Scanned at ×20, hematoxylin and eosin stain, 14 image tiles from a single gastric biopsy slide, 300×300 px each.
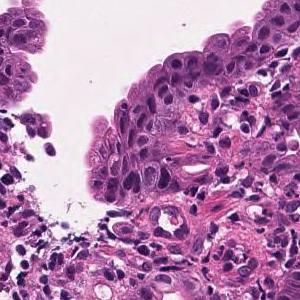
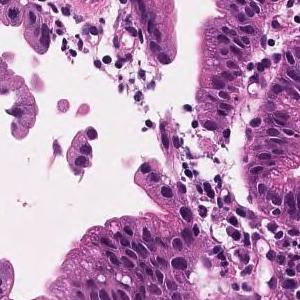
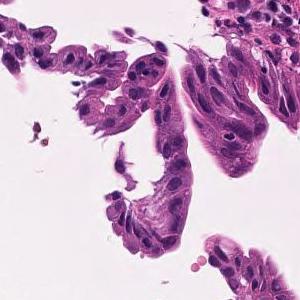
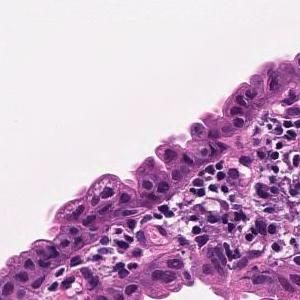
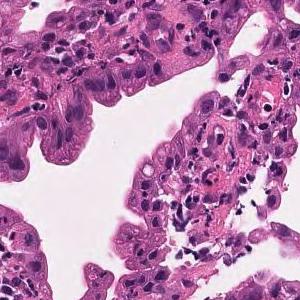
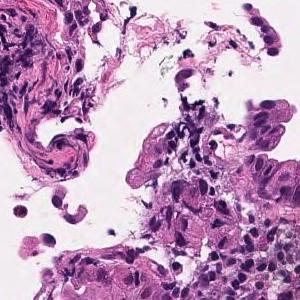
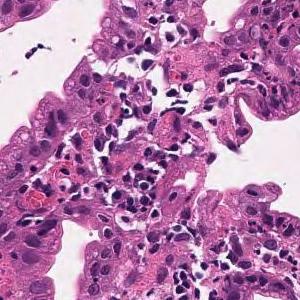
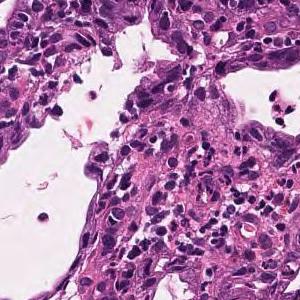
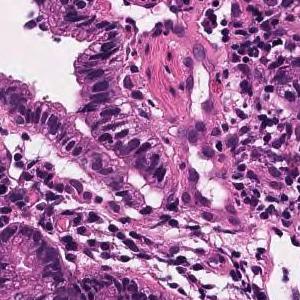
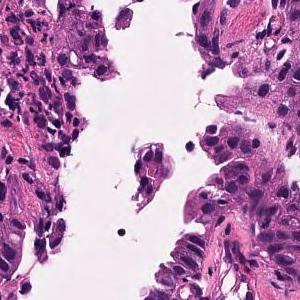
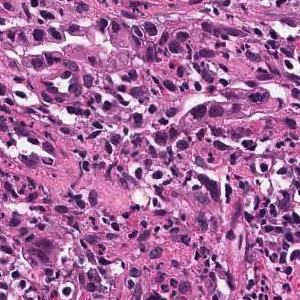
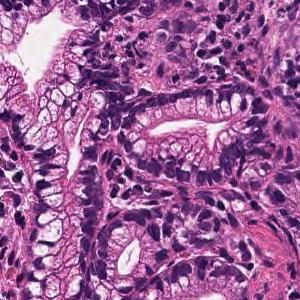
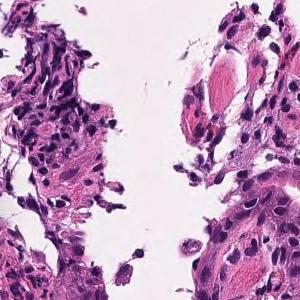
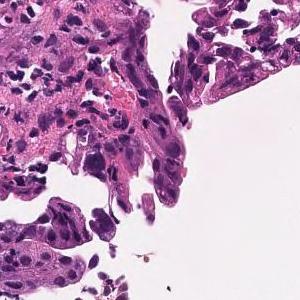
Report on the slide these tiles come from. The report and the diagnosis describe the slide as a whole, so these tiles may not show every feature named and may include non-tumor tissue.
Tumor tissue in which medium to small irregular ducts infiltrate and proliferate in the submucosa can be seen in the epithelium. Well differentiated tubular adenocarcinoma
